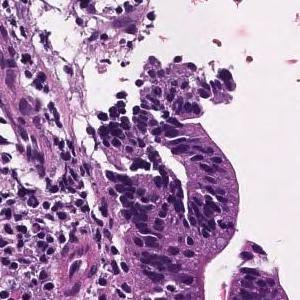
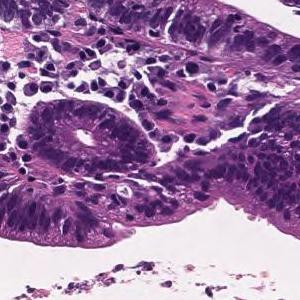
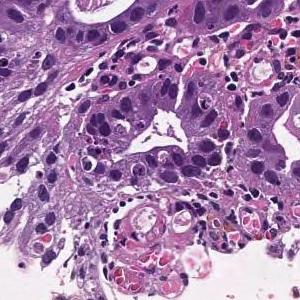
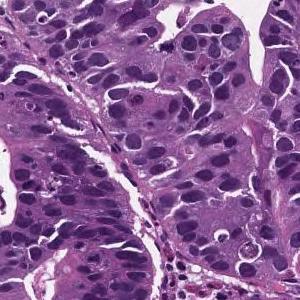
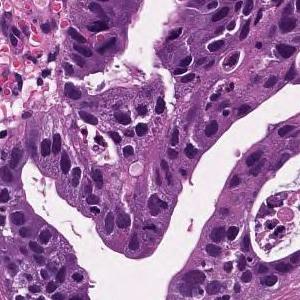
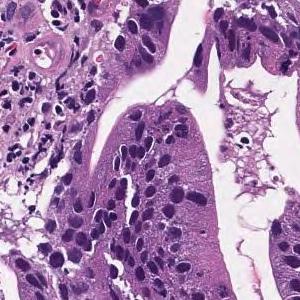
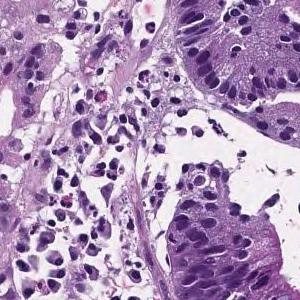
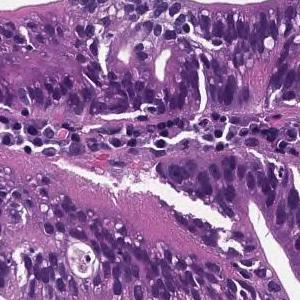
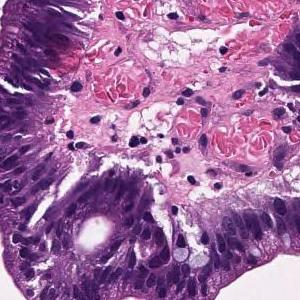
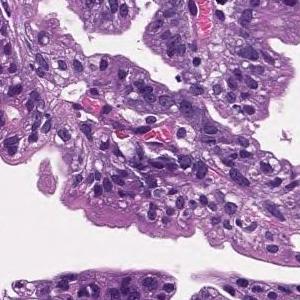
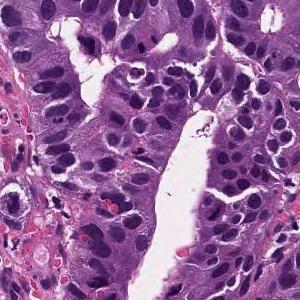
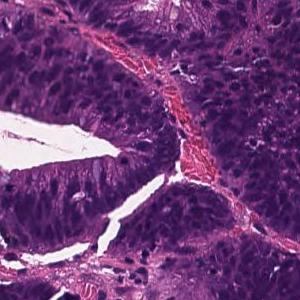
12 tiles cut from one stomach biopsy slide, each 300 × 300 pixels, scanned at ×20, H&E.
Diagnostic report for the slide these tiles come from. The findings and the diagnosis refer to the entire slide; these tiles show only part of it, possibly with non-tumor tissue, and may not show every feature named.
Tumor cells are large, highly columnar, large club-shaped nuclei, and are associated with chromatin aggregation. Papillary adenocarcinoma.
